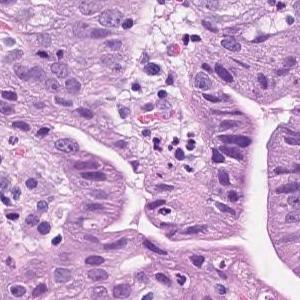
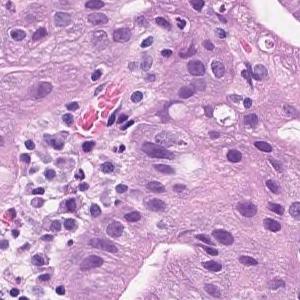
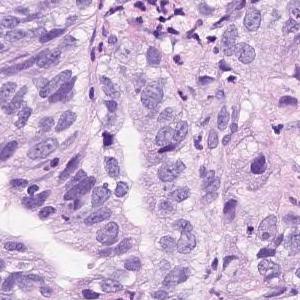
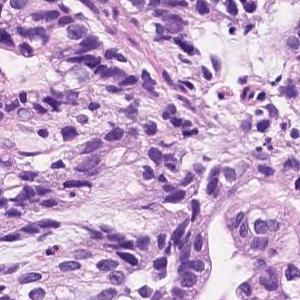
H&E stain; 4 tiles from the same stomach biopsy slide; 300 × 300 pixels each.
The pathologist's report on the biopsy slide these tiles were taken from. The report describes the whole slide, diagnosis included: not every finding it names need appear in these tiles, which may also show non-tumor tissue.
In the superficial epithelium, tumor tissue that invades by forming medium-sized to small, irregular ducts is observed. Moderately to poorly differentiated adenocarcinoma
